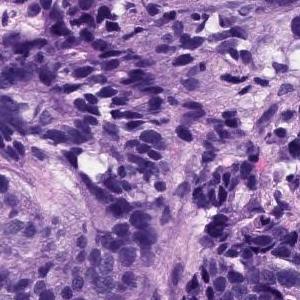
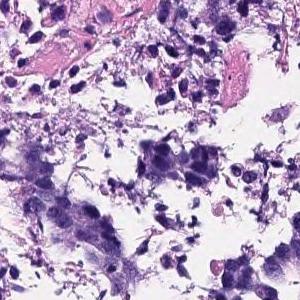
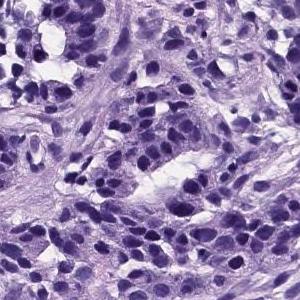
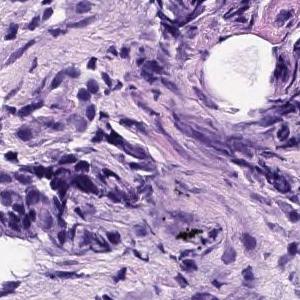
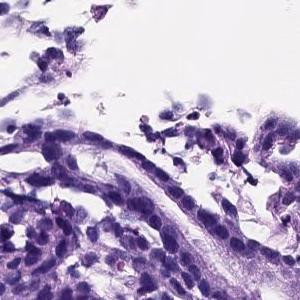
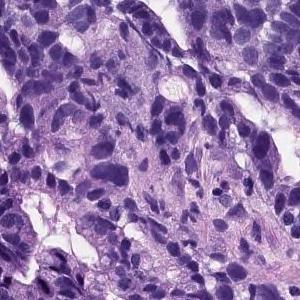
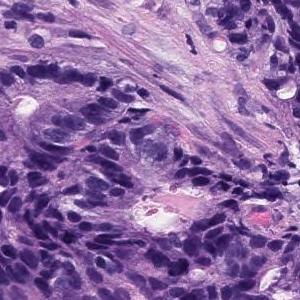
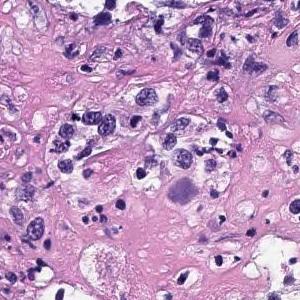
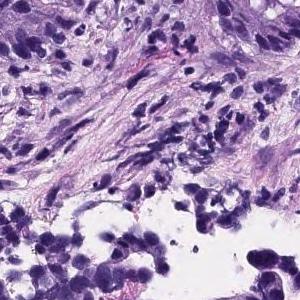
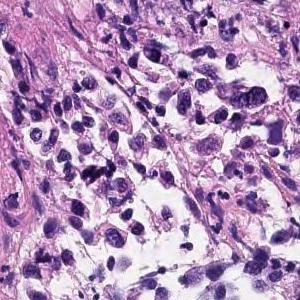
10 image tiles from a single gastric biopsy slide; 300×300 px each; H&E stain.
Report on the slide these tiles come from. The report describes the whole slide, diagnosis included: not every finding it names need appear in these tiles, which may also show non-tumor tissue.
In the superficial epithelium, tumor tissue that invades by forming medium-sized to small, irregular ducts is observed. Tumor cells are columnar or cuboidal in shape. Moderately differentiated adenocarcinoma.
Tumor subtype: moderately differentiated tubular adenocarcinoma.
